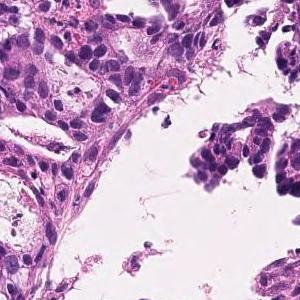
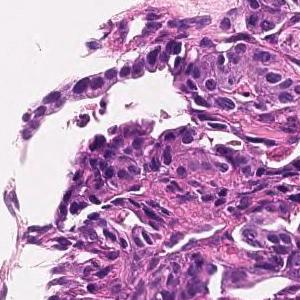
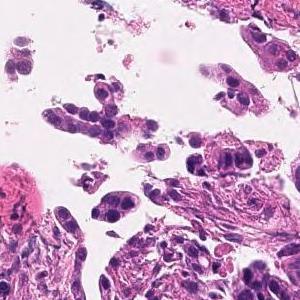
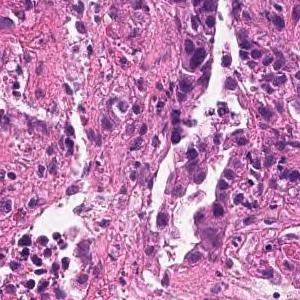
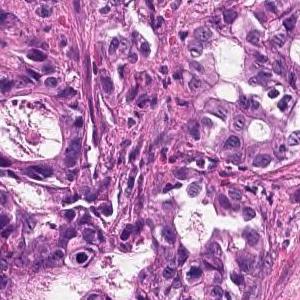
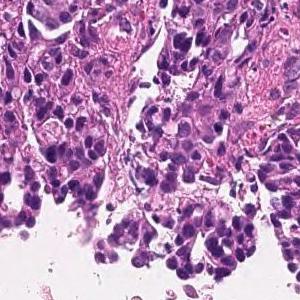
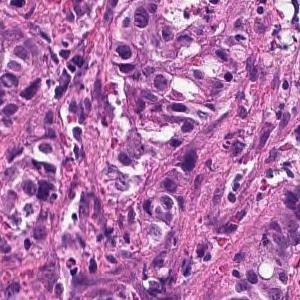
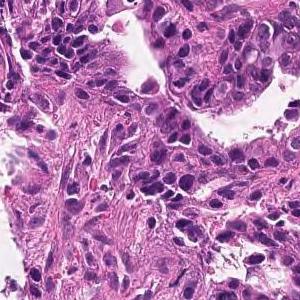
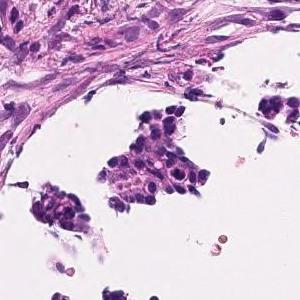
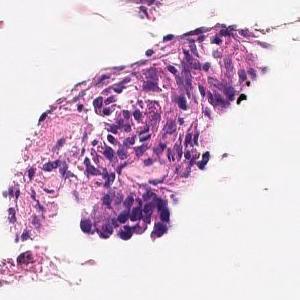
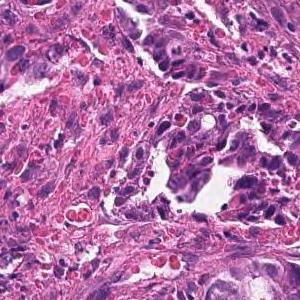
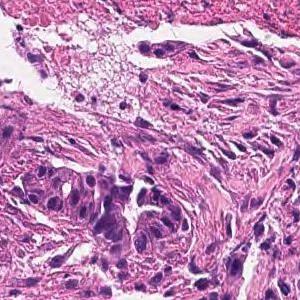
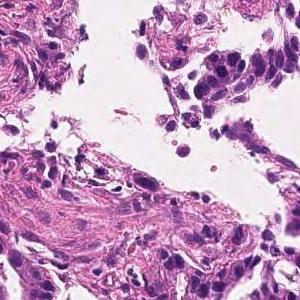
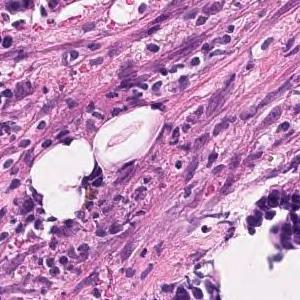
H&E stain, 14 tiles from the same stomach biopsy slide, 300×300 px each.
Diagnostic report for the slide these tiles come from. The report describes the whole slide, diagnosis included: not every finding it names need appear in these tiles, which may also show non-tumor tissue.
On the superficial epithelium, tumor tissue consisting of images of small to medium-sized and irregular tubules infiltrating with irregular fusion is observed. moderately differentiated tubular adenocarcinoma
